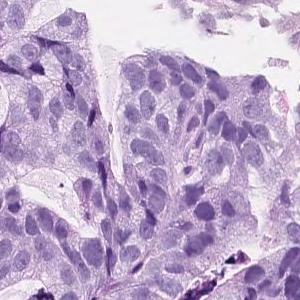
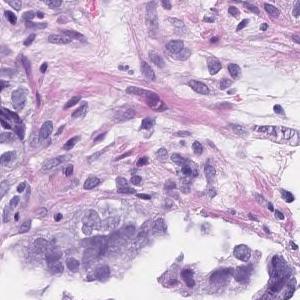
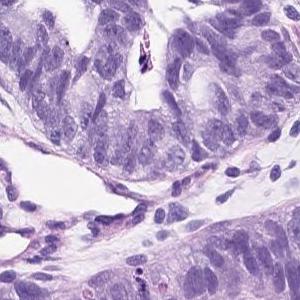
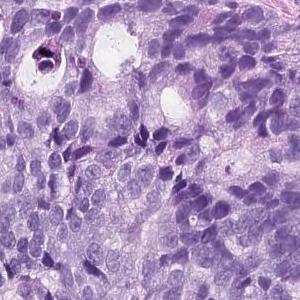
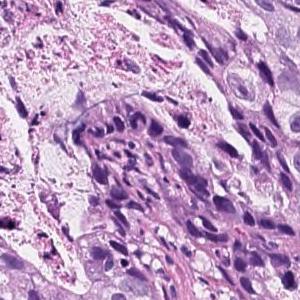
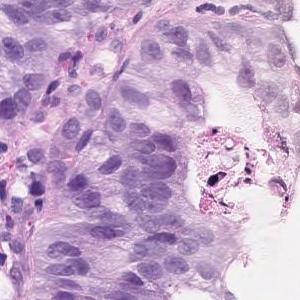
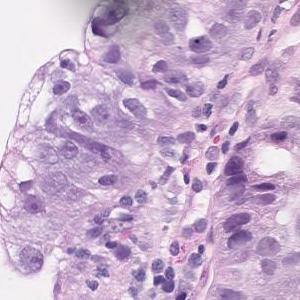
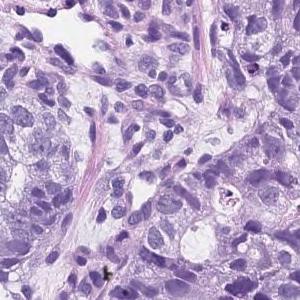
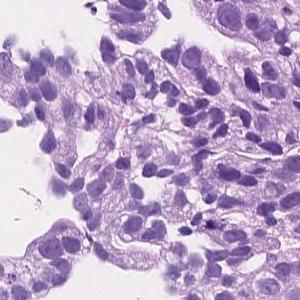
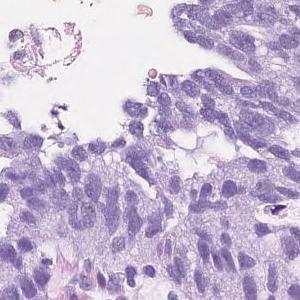
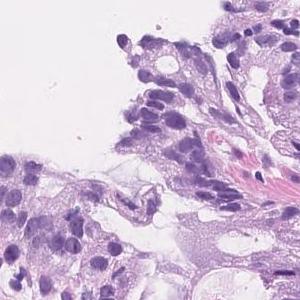
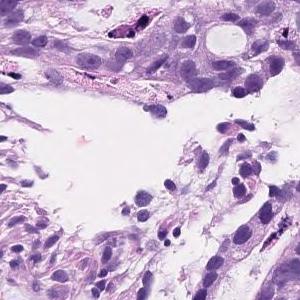
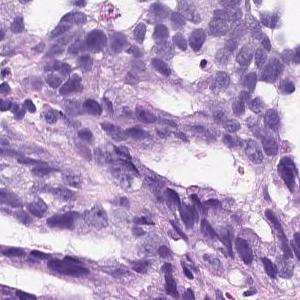
Hematoxylin and eosin stain, 20× magnification, 13 tiles cut from one stomach biopsy slide.
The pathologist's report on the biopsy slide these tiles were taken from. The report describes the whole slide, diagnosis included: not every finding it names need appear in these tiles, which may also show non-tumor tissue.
On the superficial epithelium, tumor tissue consisting of an image of large, irregular glandular ducts partially fused and infiltrated is observed. Well to moderately differentiated tubular adenocarcinoma
